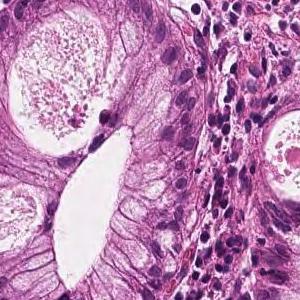
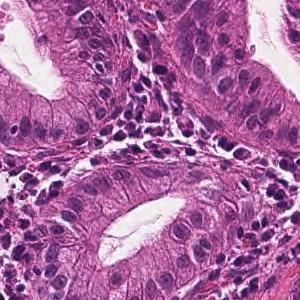
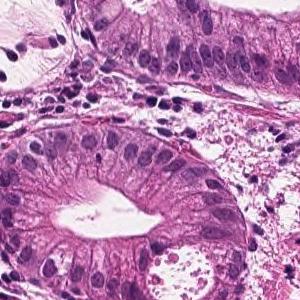
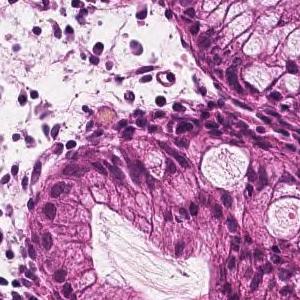
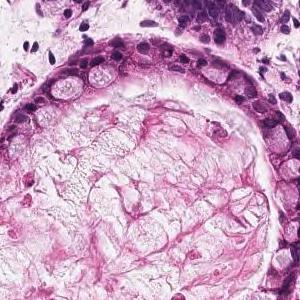
H&E stain; 20× magnification; 5 patches cut from one gastric biopsy slide; 300×300 px each.
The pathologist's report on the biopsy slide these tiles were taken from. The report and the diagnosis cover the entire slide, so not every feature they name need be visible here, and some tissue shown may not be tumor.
In the superficial epithelium, tumor tissue that invades by forming medium-sized to small, irregular ducts is observed. Well differentiated tubular adenocarcinoma.
